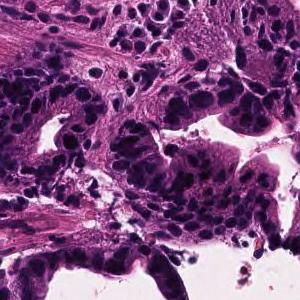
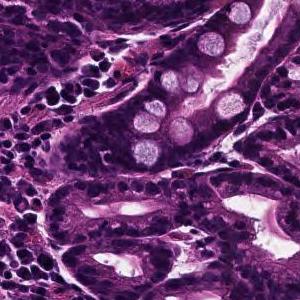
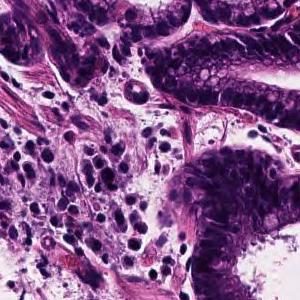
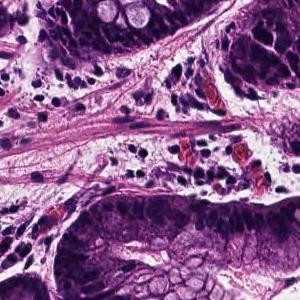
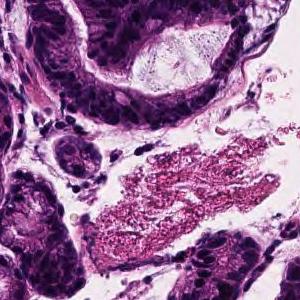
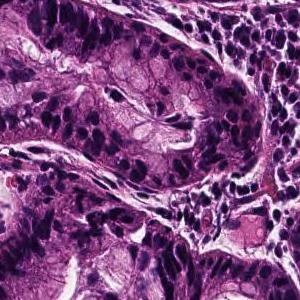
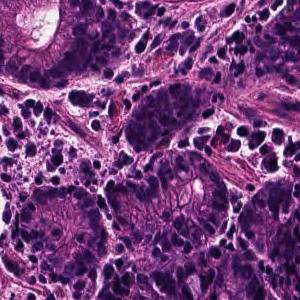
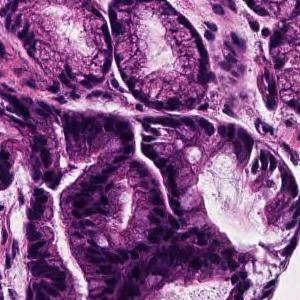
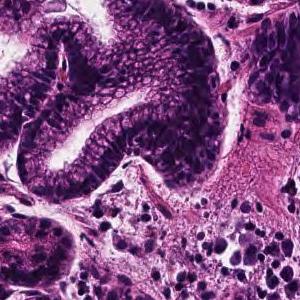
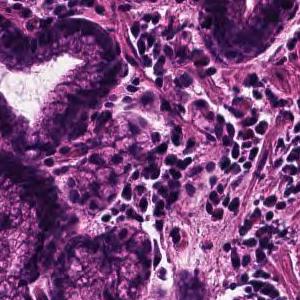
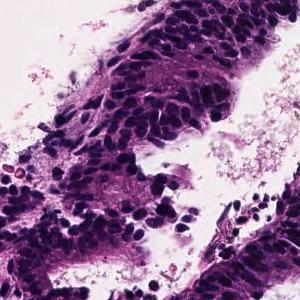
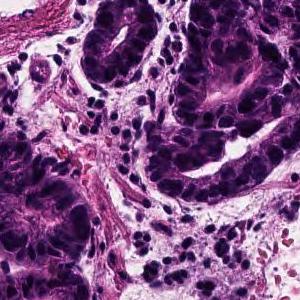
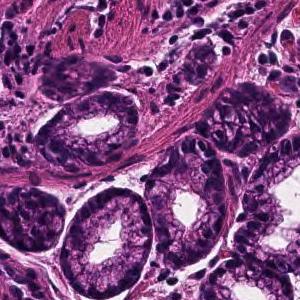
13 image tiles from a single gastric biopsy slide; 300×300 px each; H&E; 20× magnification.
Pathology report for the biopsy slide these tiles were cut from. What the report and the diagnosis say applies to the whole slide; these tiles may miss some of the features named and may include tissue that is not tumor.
In the superficial epithelium, tumor tissue infiltrated by partial fusion of medium-sized to small, irregular glandular ducts is observed. moderately differentiated tubular adenocarcinoma
